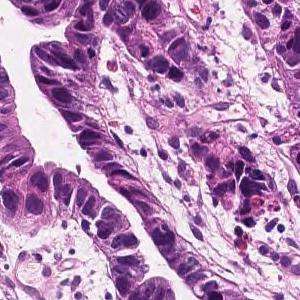
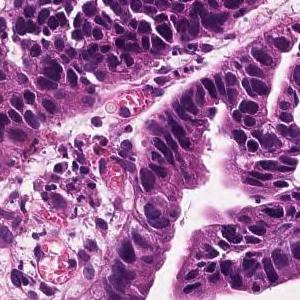
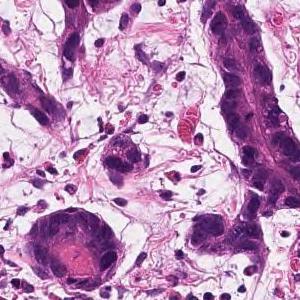
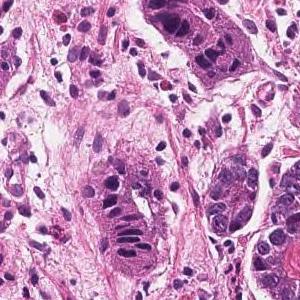
4 image tiles from a single gastric biopsy slide · 20× magnification.
Pathology report for the biopsy slide these tiles were cut from. The report describes the whole slide, diagnosis included: not every finding it names need appear in these tiles, which may also show non-tumor tissue.
In the superficial epithelium, tumor tissue that invades by forming medium-sized to small, irregular ducts is observed. Well differentiated tubular adenocarcinoma.
